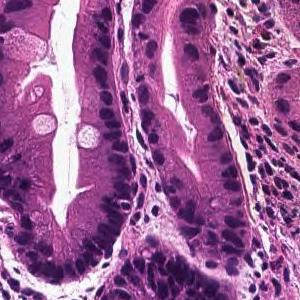
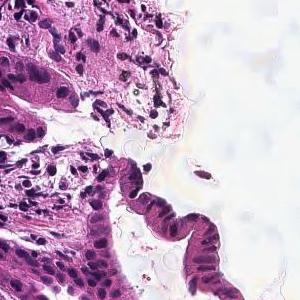
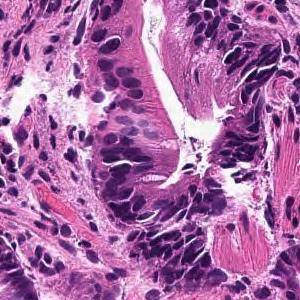
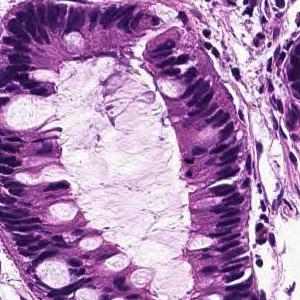
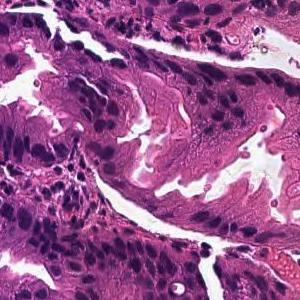
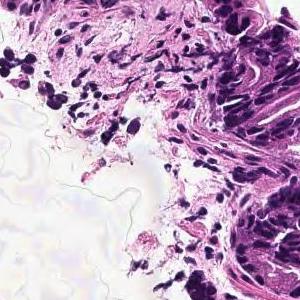
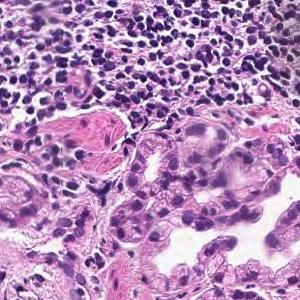
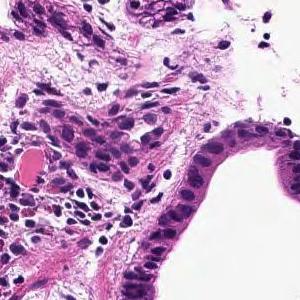
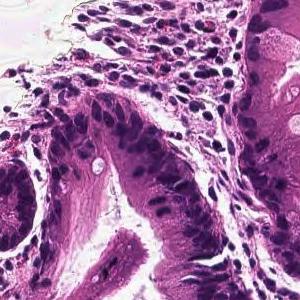
H&E stain · 9 tiles from the same stomach biopsy slide.
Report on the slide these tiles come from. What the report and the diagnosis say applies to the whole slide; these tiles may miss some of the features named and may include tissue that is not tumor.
From the superficial epithelium to the muscularis mucosae, tumor tissue consisting of medium-sized and irregular glandular ducts infiltrating is observed. Well differentiated tubular adenocarcinoma
